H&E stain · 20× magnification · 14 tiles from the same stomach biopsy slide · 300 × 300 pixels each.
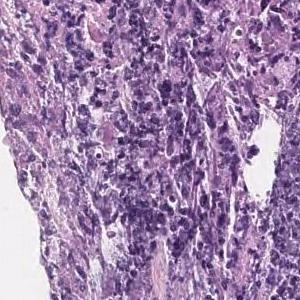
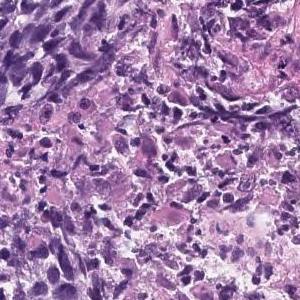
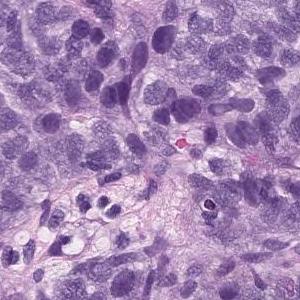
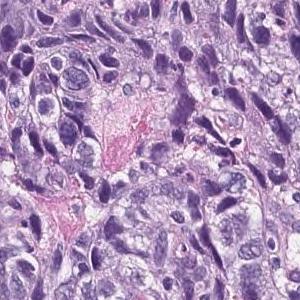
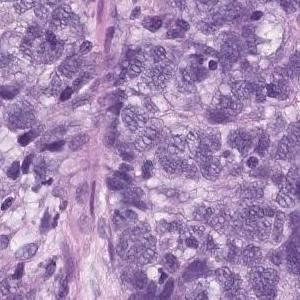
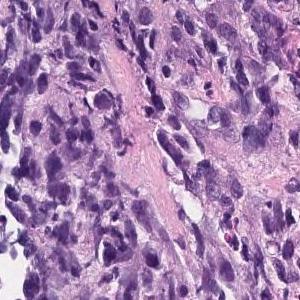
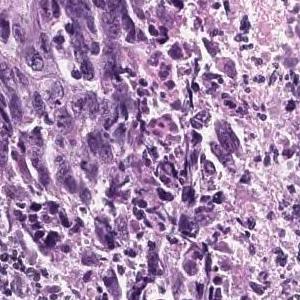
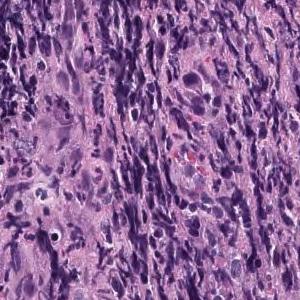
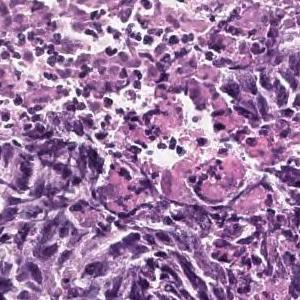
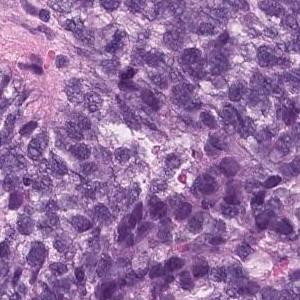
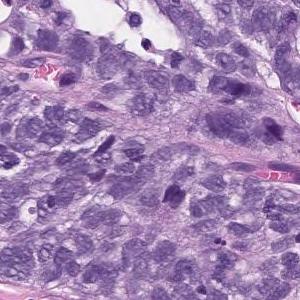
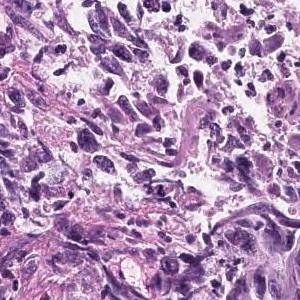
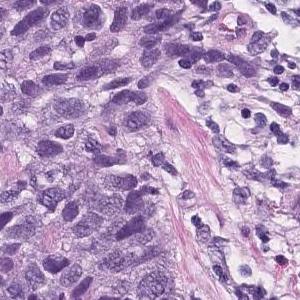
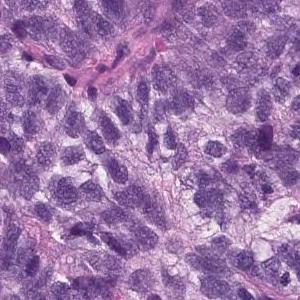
Diagnostic report for the slide these tiles come from. The report describes the whole slide, diagnosis included: not every finding it names need appear in these tiles, which may also show non-tumor tissue.
Epithelial cells with swollen nuclei with atypia invasively proliferating while forming vesicles is observed. Poorly differentiated adenocarcinoma
Histologic type: Poorly differentiated adenocarcinoma, solid type. This name comes from the Japanese Classification of Gastric Carcinoma; the WHO 2019 classification calls it tubular adenocarcinoma, poorly differentiated.
